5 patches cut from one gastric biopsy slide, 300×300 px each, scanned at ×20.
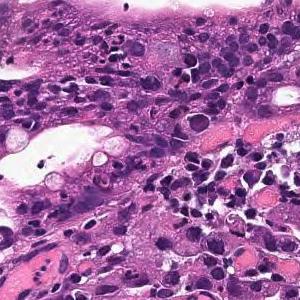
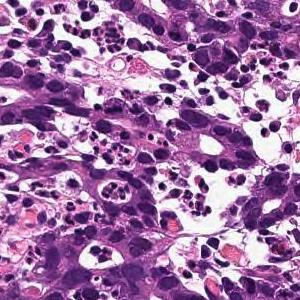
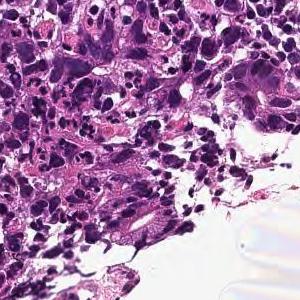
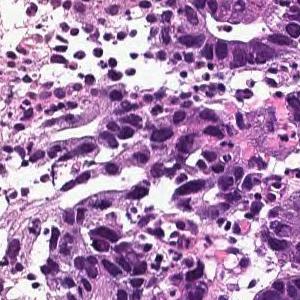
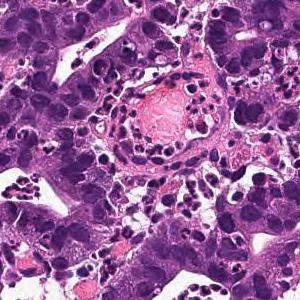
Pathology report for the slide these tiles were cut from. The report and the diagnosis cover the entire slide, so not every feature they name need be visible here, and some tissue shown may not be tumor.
On the superficial epithelium, a tumor tissue consisting of a large, irregular glandular duct partially fused and infiltrating with a small alveolar shape is observed. Well or moderately differentiated tubular adenocarcinoma (well differentiated tubular adenocarcinoma, moderately differentiated tubular adenocarcinoma)
Histological subtype: Well to moderately differentiated tubular adenocarcinoma.
